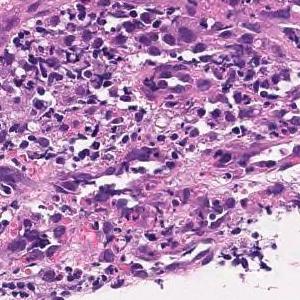
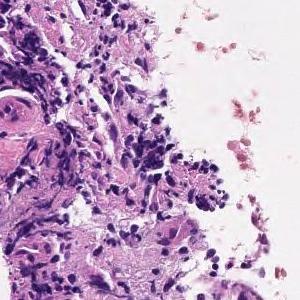
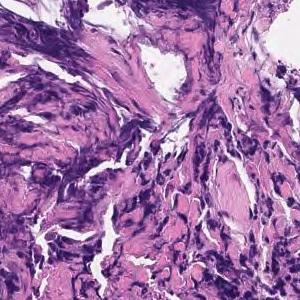
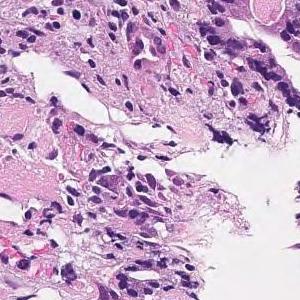
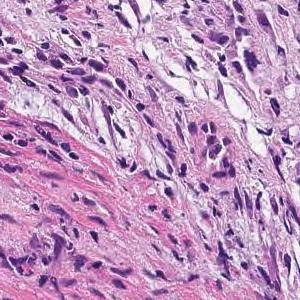
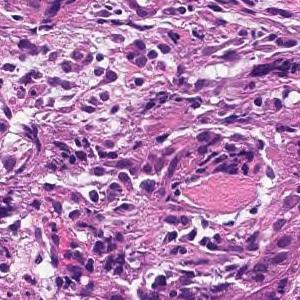
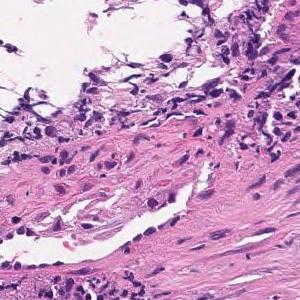
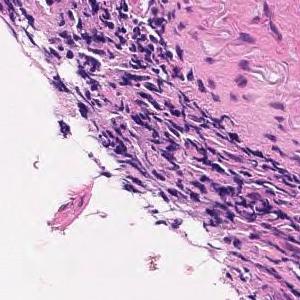
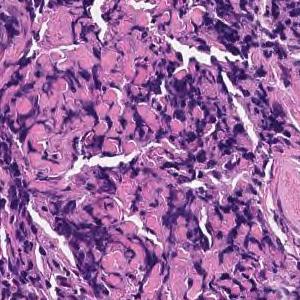
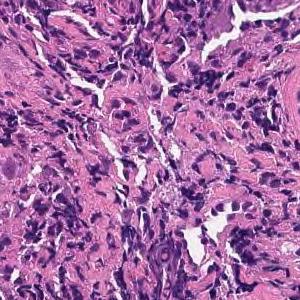
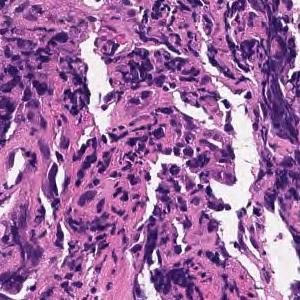
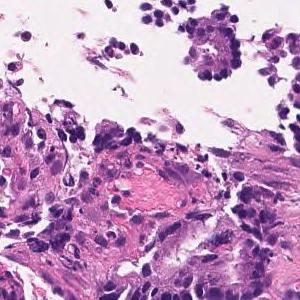
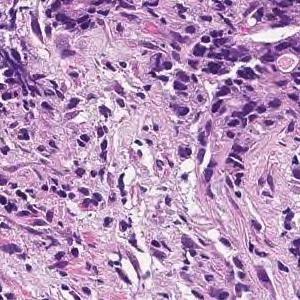
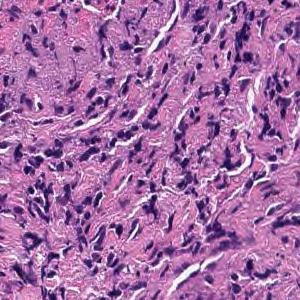
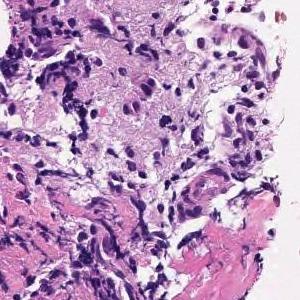
15 patches cut from one gastric biopsy slide; scanned at ×20.
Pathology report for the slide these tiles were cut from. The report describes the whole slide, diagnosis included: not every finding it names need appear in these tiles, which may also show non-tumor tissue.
Tumor tissue consisting of medium-sized, cord-like or irregular glandular infiltration is observed in the superficial epithelium. Poorly differentiated adenocarcinoma, non-solid type or moderately differentiated tubular adenocarcinoma
Subtype: Moderately to poorly differentiated adenocarcinoma.
The non-solid type named here is a Japanese Classification of Gastric Carcinoma category.
